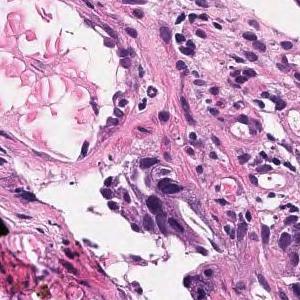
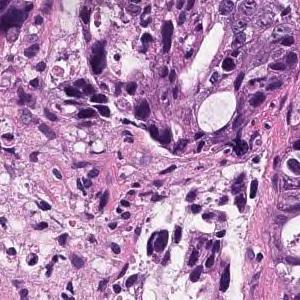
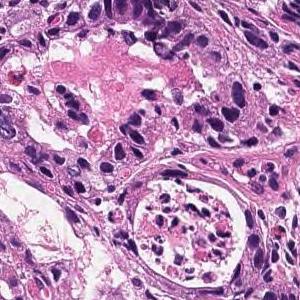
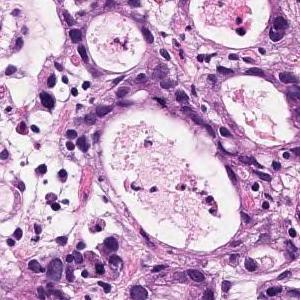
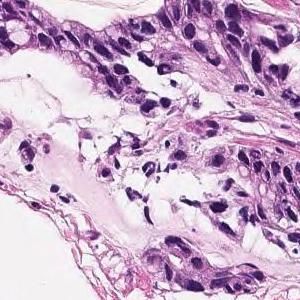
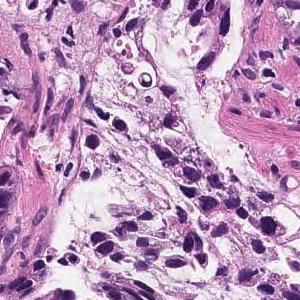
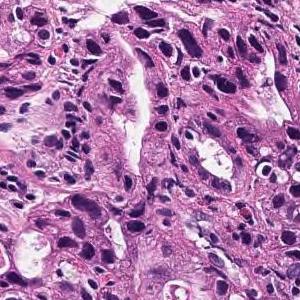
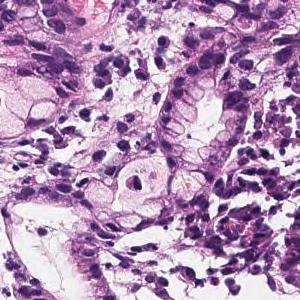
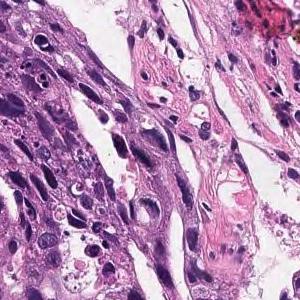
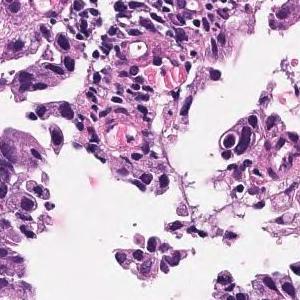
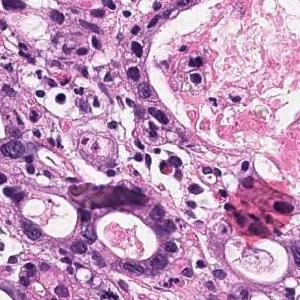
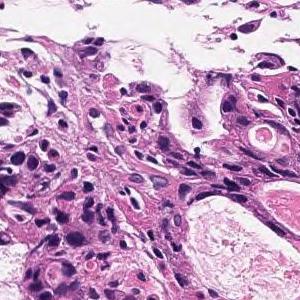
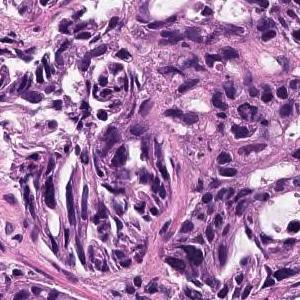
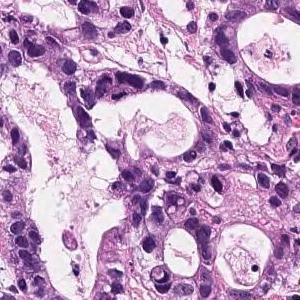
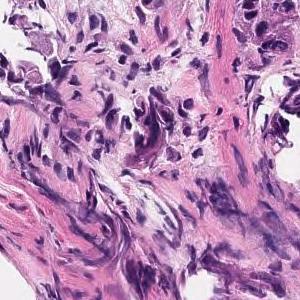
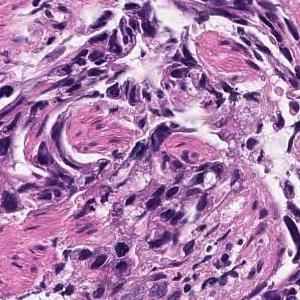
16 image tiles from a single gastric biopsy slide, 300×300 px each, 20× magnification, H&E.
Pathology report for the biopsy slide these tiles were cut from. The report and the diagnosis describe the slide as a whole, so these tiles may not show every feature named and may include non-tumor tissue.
In the superficial epithelium, tumor tissue that invades by forming medium-sized to small, irregular ducts is observed. Moderately differentiated adenocarcinoma.
Histologic type: Moderately differentiated tubular adenocarcinoma.
